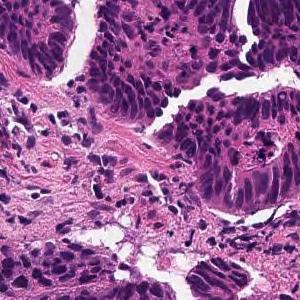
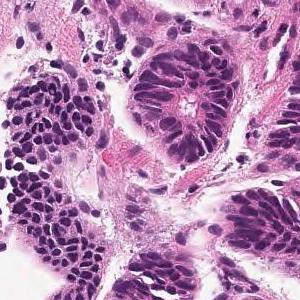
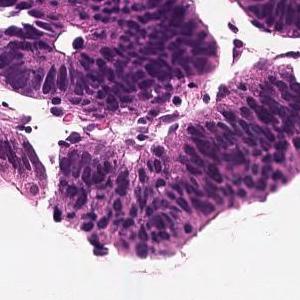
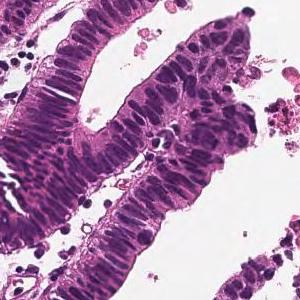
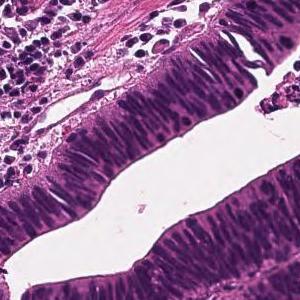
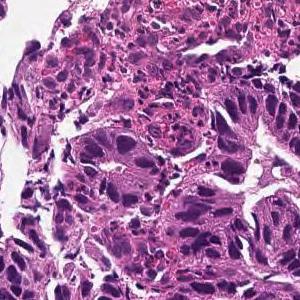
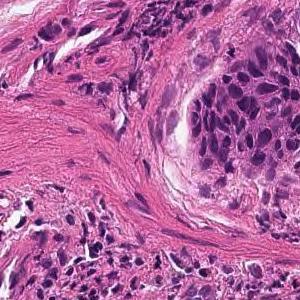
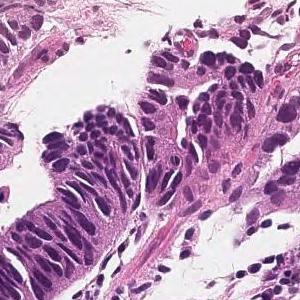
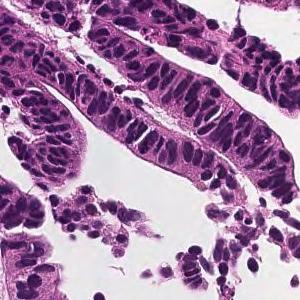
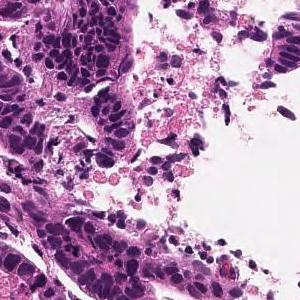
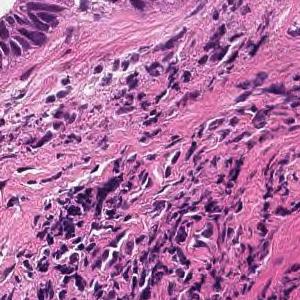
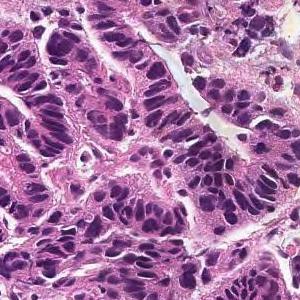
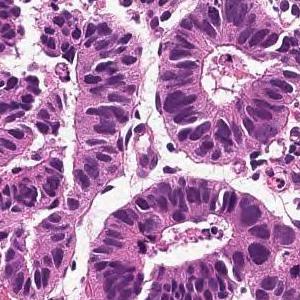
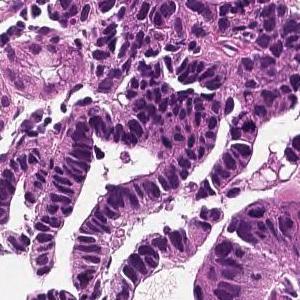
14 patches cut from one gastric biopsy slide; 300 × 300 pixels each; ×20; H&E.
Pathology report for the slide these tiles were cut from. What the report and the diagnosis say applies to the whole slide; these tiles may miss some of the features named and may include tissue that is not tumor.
From the superficial epithelium to the muscularis mucosae, tumor tissue consisting of medium-sized and irregular glandular ducts infiltrating is observed. Well differentiated tubular adenocarcinoma
